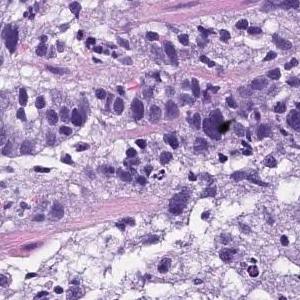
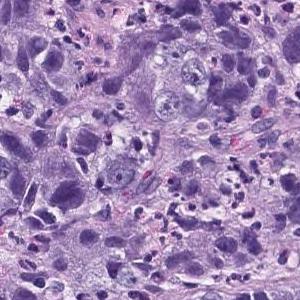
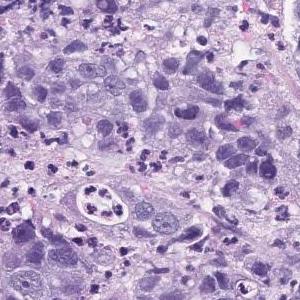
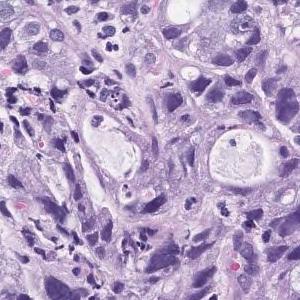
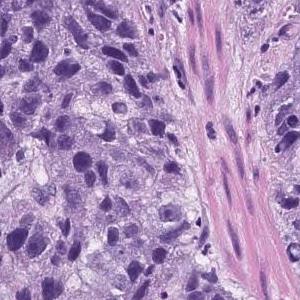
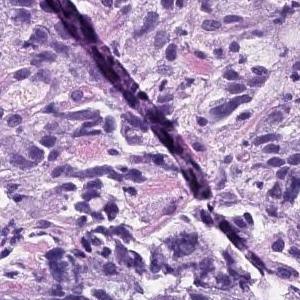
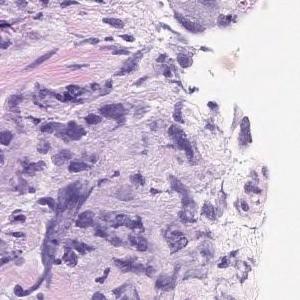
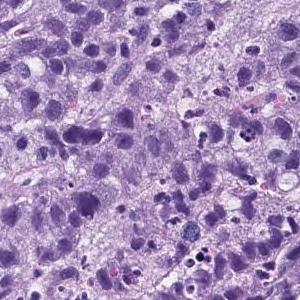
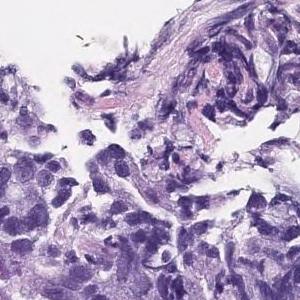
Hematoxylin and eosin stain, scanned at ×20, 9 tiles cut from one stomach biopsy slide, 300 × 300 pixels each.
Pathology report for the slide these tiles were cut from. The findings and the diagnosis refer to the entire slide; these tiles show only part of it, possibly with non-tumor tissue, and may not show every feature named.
Atypical l cells with atypical nuclei forming solid vesicles or small irregular atypical ducts that proliferate in a complex manner. poorly differentiated adenocarcinoma, solid type, moderately differentiated tubular adenocarcinoma
The solid type named here is a Japanese Classification of Gastric Carcinoma category; WHO 2019 calls it tubular adenocarcinoma, poorly differentiated.
